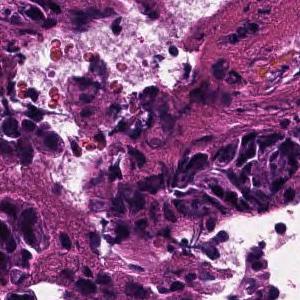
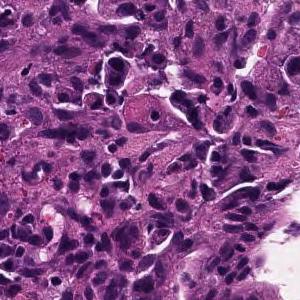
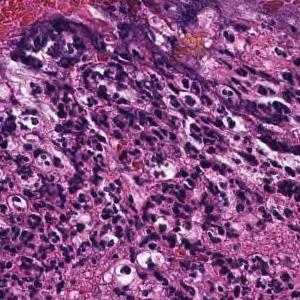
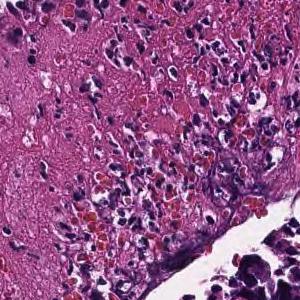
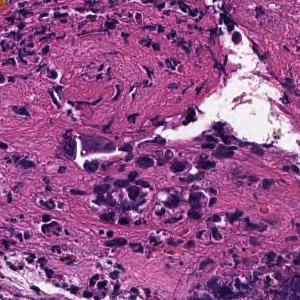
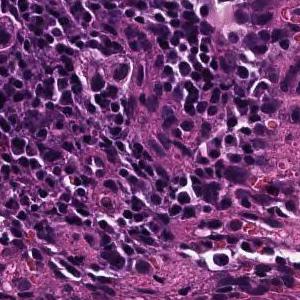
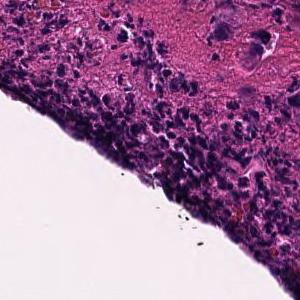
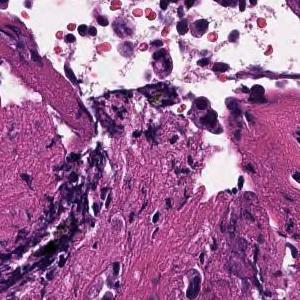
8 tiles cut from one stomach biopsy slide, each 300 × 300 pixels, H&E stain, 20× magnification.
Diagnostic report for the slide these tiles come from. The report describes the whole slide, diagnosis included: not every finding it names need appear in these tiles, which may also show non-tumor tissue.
Tumor tissue consisting of cord-like or small, irregular glandular ducts fused and infiltrated is observed in the superficial epithelium. Poorly differentiated adenocarcinoma, non-solid type
The non-solid type named here is a Japanese Classification of Gastric Carcinoma category.
